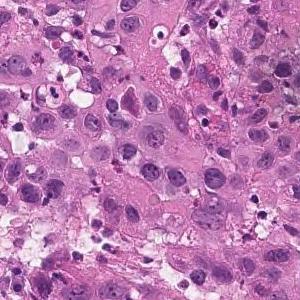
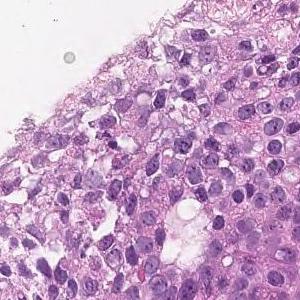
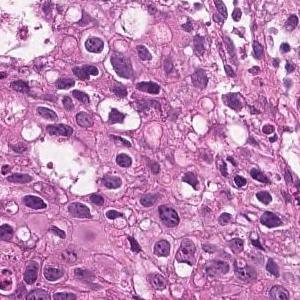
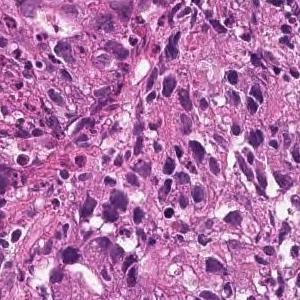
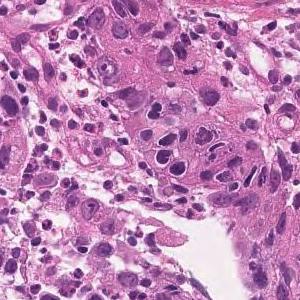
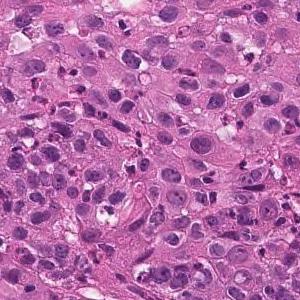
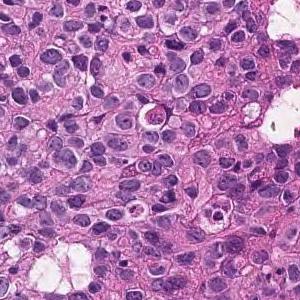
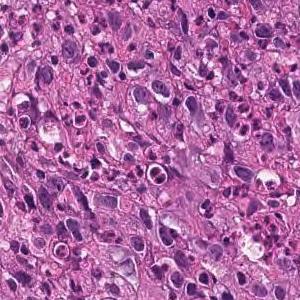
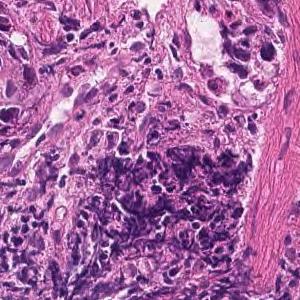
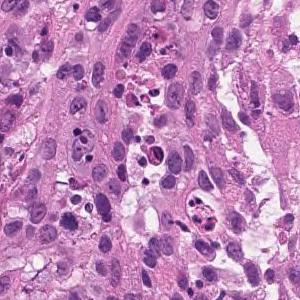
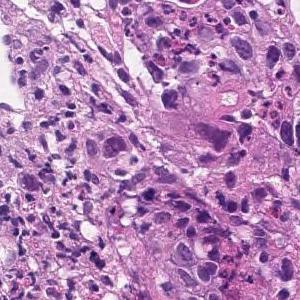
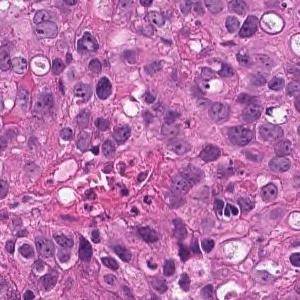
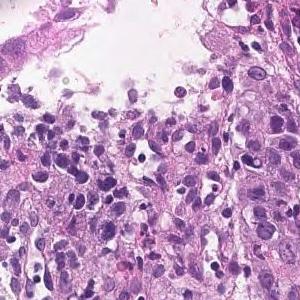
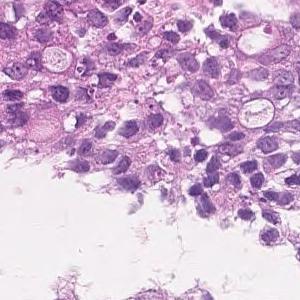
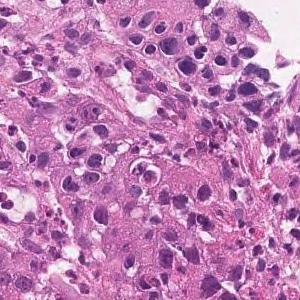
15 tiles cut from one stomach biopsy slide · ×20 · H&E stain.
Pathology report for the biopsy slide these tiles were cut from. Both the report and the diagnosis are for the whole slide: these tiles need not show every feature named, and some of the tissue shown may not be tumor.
The superficial epithelium shows a large sheet-like shape, and some tumor tissue infiltrates with small irregular ducts. Poorly differentiated adenocarcinoma, solid-type
Histologic type: Poorly differentiated adenocarcinoma, solid type. This name comes from the Japanese Classification of Gastric Carcinoma; the WHO 2019 classification calls it tubular adenocarcinoma, poorly differentiated.
